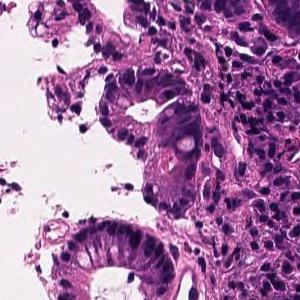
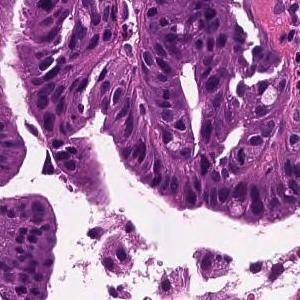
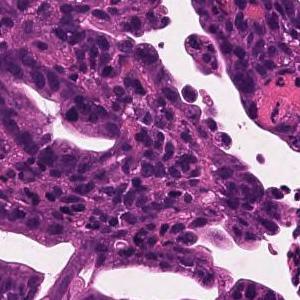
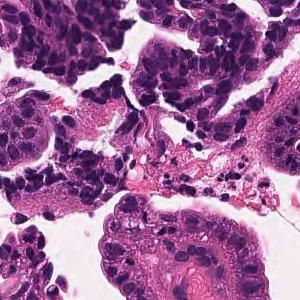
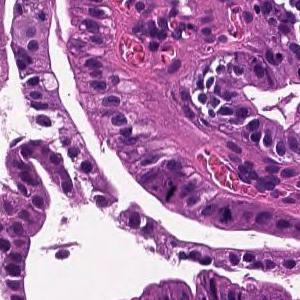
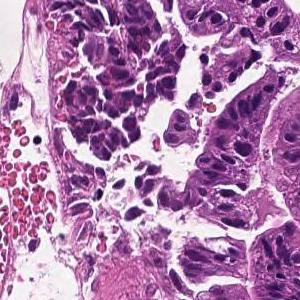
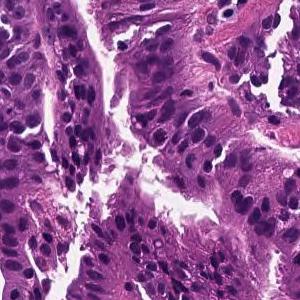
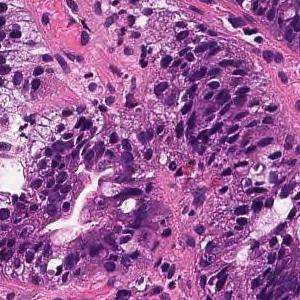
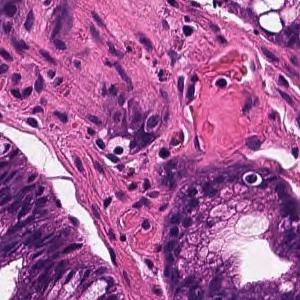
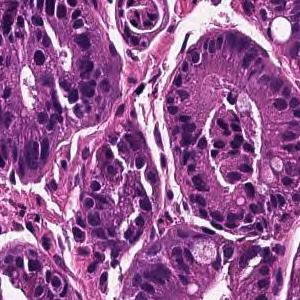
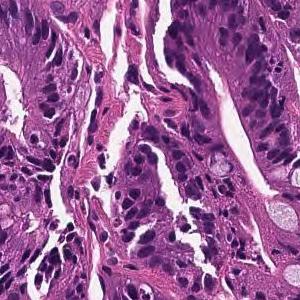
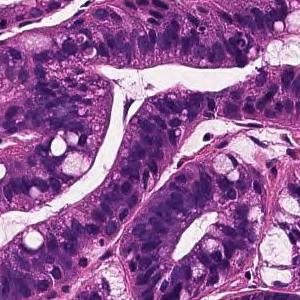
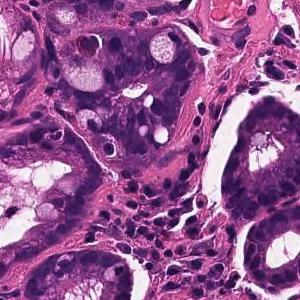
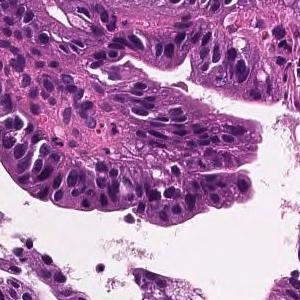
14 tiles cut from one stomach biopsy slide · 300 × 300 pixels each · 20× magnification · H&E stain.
The pathologist's report on the biopsy slide these tiles were taken from. The report and the diagnosis cover the entire slide, so not every feature they name need be visible here, and some tissue shown may not be tumor.
On the superficial epithelium, tumor tissue that infiltrates by forming medium-sized papillary or small irregular ducts is observed. Papillary adenocarcinoma
